20× magnification, H&E, 5 tiles from the same stomach biopsy slide.
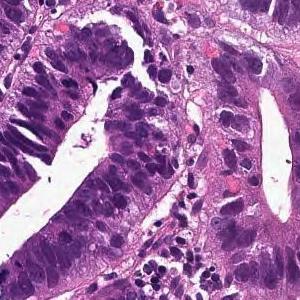
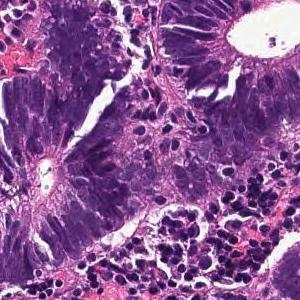
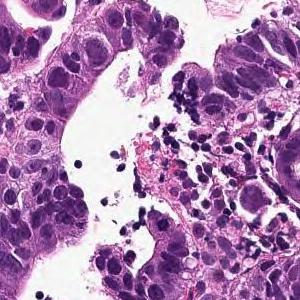
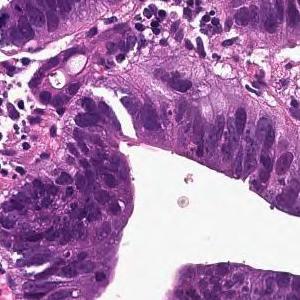
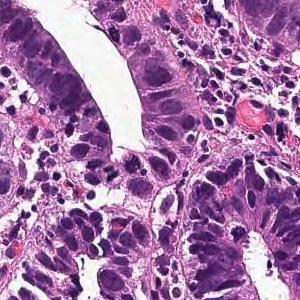
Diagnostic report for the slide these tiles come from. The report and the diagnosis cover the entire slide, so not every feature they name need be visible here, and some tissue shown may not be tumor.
Tumor cells are large, highly columnar, large club-shaped nuclei, and are associated with chromatin aggregation. Papillary adenocarcinoma.
